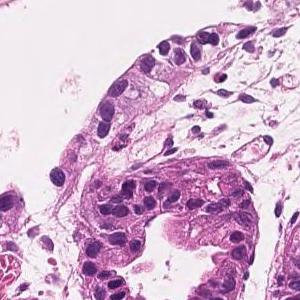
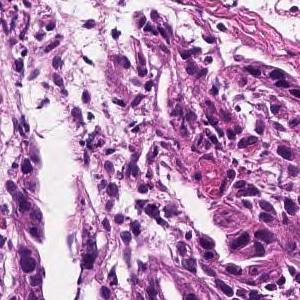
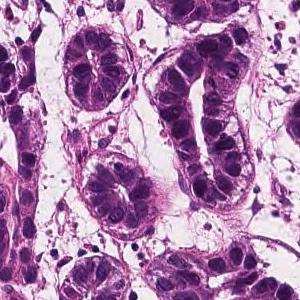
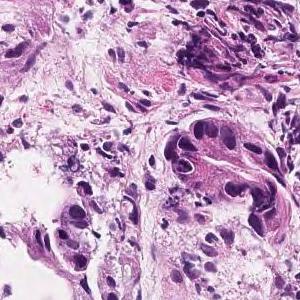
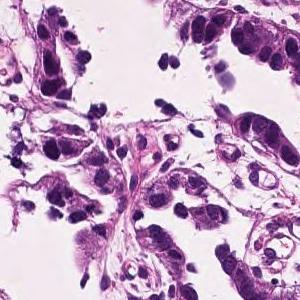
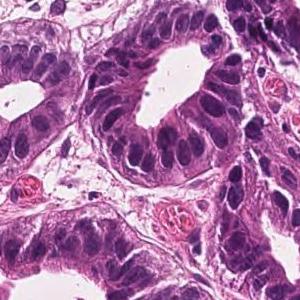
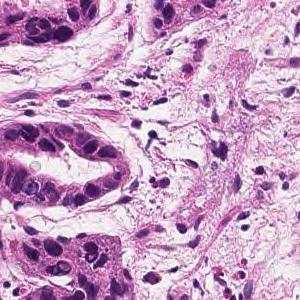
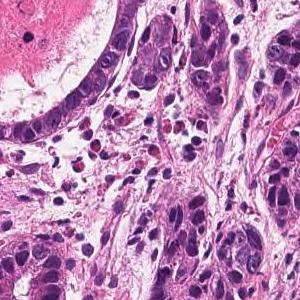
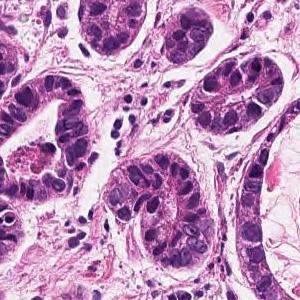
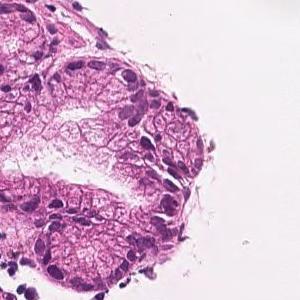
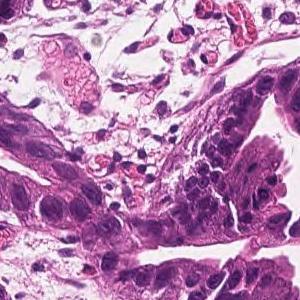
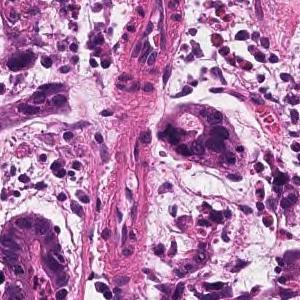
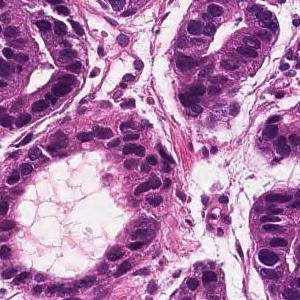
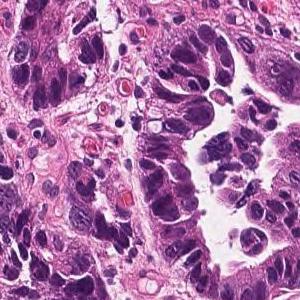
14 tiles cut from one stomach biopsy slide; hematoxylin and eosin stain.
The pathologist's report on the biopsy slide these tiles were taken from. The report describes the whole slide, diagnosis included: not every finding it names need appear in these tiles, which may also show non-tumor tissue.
In the superficial epithelium, tumor tissue that invades by forming medium-sized to small, irregular ducts is observed. Well differentiated tubular adenocarcinoma.
